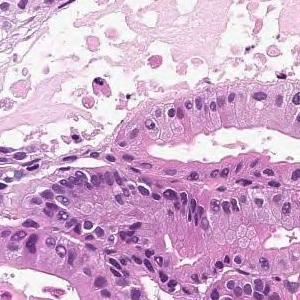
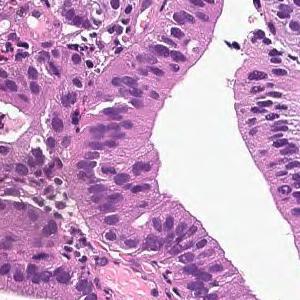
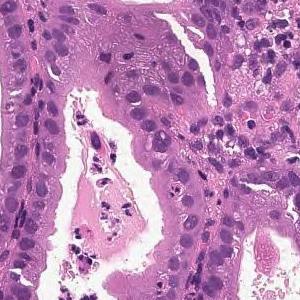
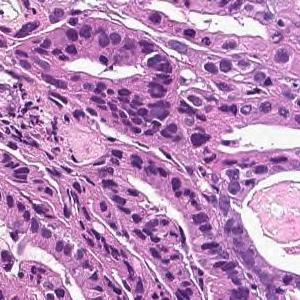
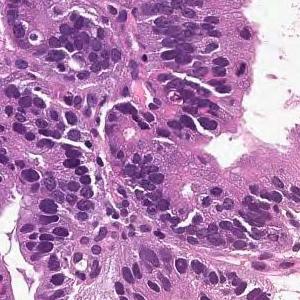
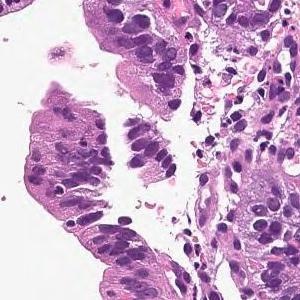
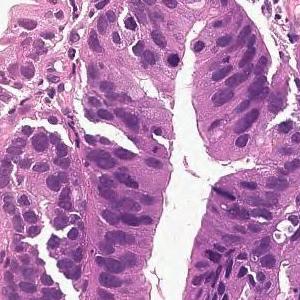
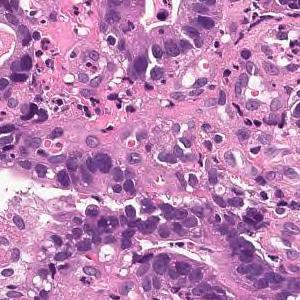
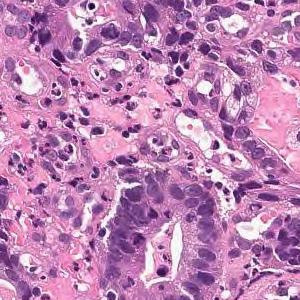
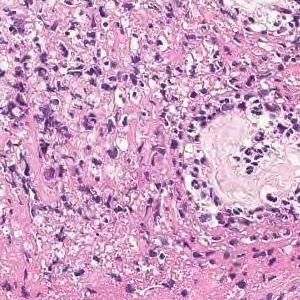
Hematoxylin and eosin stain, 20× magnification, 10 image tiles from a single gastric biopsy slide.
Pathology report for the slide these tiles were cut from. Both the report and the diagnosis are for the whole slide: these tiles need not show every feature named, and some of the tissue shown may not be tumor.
From the superficial epithelium to the muscularis mucosae, tumor tissue consisting of medium-sized and irregular glandular ducts infiltrating is observed. Well differentiated tubular adenocarcinoma
